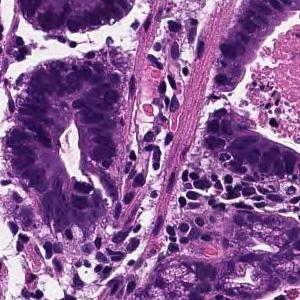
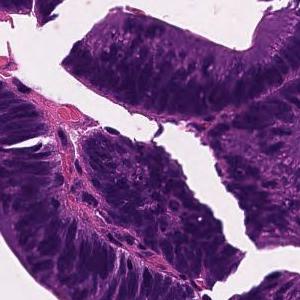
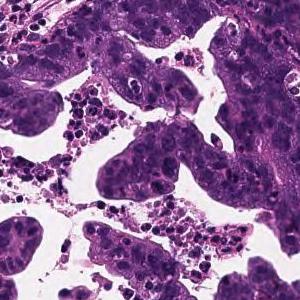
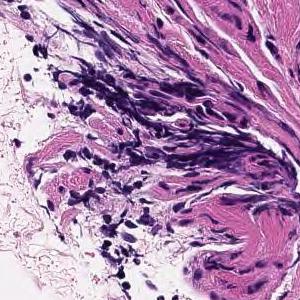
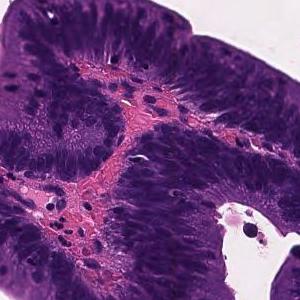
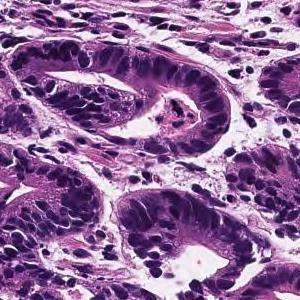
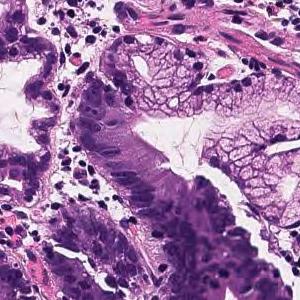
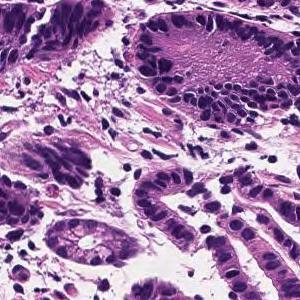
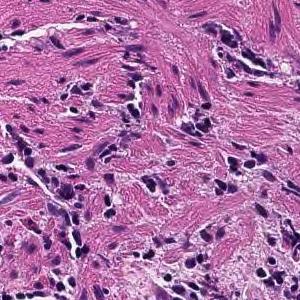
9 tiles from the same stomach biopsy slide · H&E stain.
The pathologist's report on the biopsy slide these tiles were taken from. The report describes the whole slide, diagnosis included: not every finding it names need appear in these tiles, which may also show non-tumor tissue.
Tumor tissue consisting of large papillary structures is found in the superficial epithelium. Papillary adenocarcinoma.
